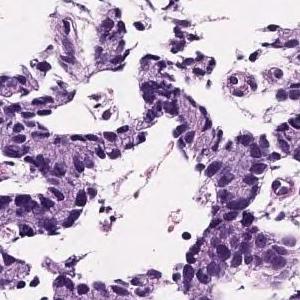
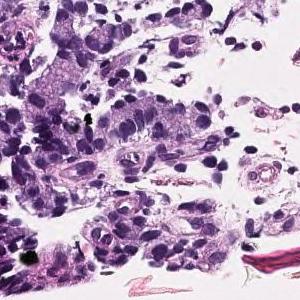
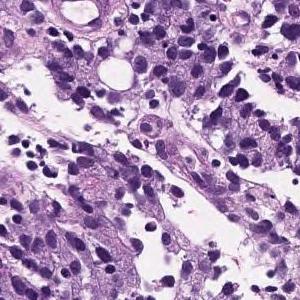
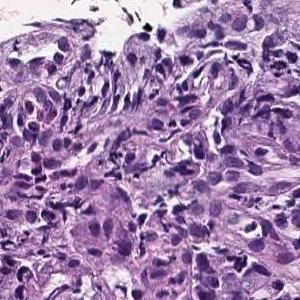
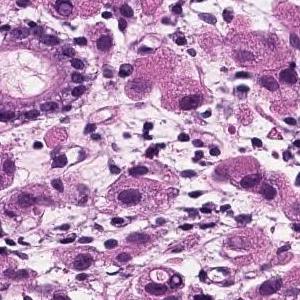
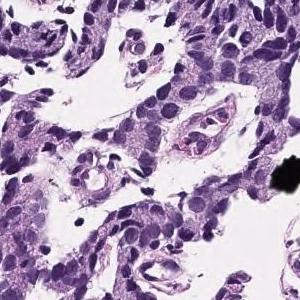
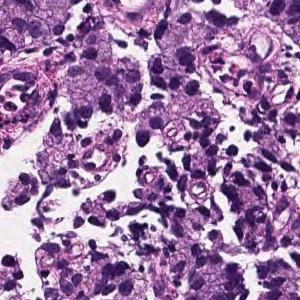
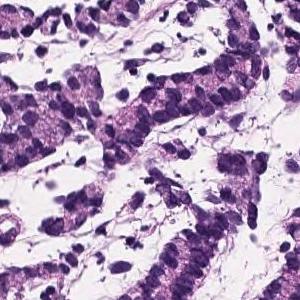
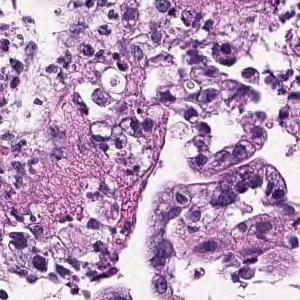
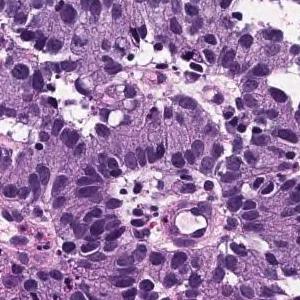
H&E stain, 10 tiles from the same stomach biopsy slide.
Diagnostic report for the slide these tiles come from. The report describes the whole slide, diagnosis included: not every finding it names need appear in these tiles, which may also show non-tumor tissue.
Tumor tissue infiltrated by irregular fusion of small cord-like structures is found in the superficial epithelium. Poorly differentiated adenocarcinoma, non-solid type
The non-solid type named here is a Japanese Classification of Gastric Carcinoma category.
